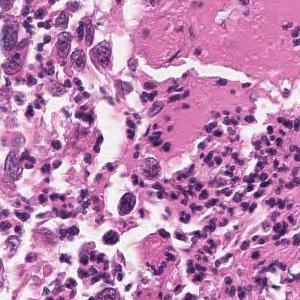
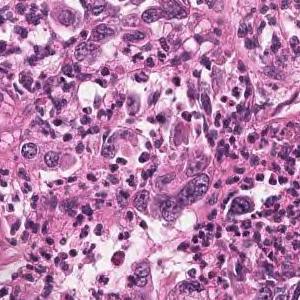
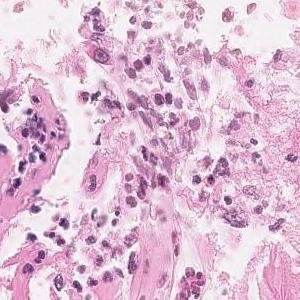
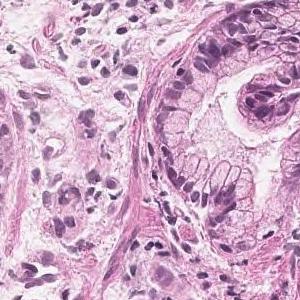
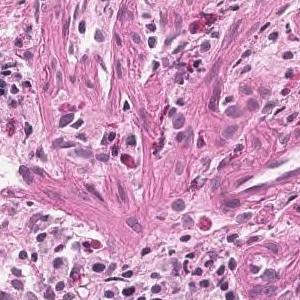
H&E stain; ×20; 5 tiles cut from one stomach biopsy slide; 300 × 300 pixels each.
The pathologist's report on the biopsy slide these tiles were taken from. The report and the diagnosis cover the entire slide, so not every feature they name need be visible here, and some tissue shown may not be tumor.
In the superficial epithelium, medium to small irregular gland ducts are formed, and in some cases, the ducts are fused to show solid alveolar lesions and infiltrating tumor tissue is observed. Moderately to poorly differentiated adenocarcinoma
